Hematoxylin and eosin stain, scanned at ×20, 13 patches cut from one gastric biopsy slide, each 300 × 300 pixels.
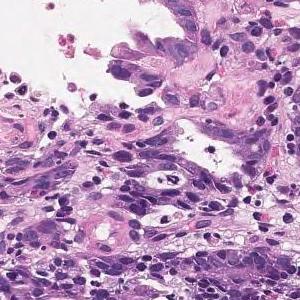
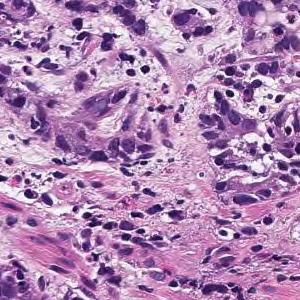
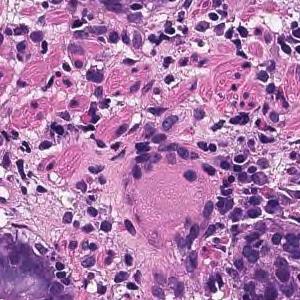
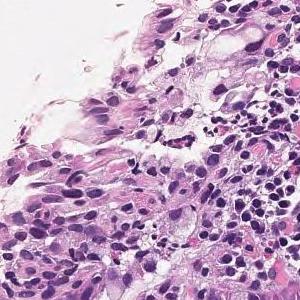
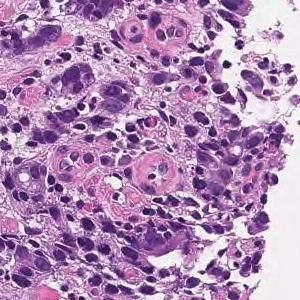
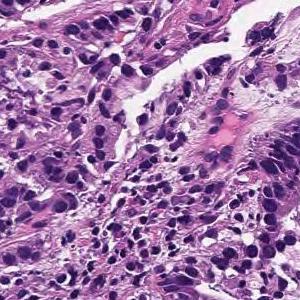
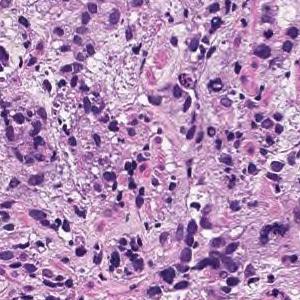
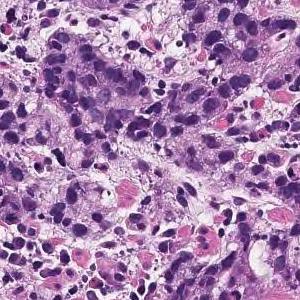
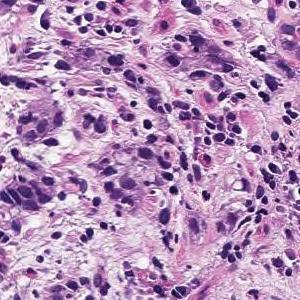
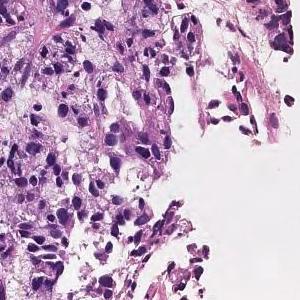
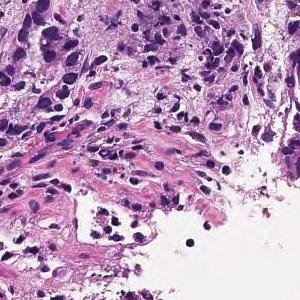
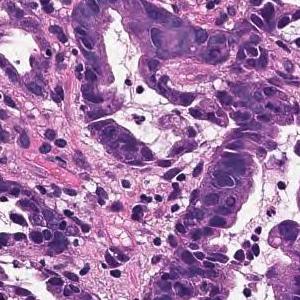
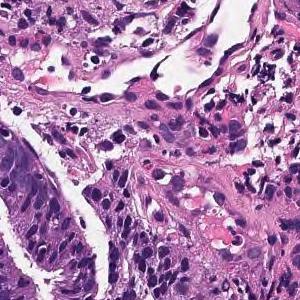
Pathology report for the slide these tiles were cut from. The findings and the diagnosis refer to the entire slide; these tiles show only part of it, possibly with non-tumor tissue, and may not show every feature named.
Tumor tissue consisting of cord-like or small, irregular glandular ducts fused and infiltrated is observed in the superficial epithelium. Poorly differentiated adenocarcinoma, non-solid type
The non-solid type named here is a Japanese Classification of Gastric Carcinoma category.
